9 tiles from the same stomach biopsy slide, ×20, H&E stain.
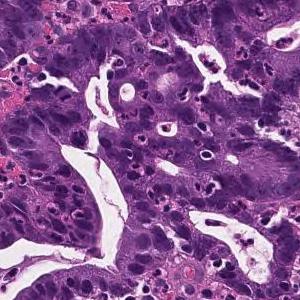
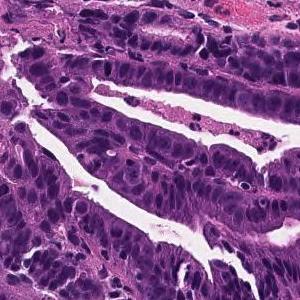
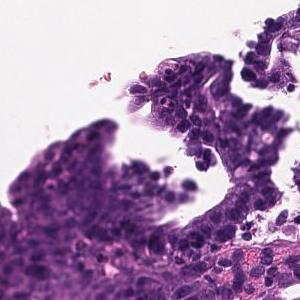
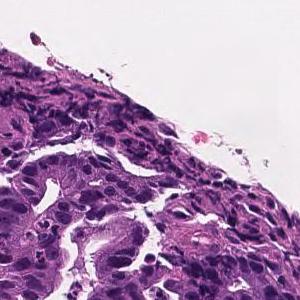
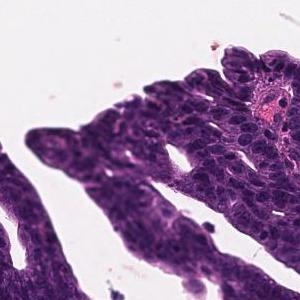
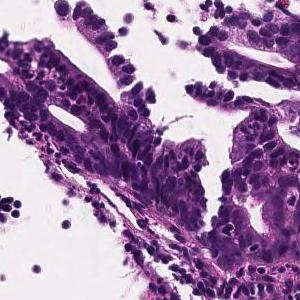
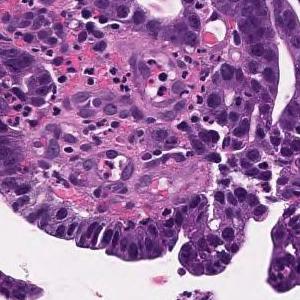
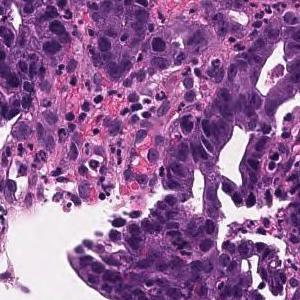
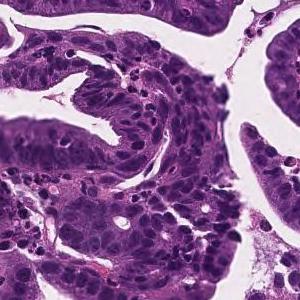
Pathology report for the biopsy slide these tiles were cut from. The report and the diagnosis describe the slide as a whole, so these tiles may not show every feature named and may include non-tumor tissue.
Tumor cells are large, highly columnar, large club-shaped nuclei, and are associated with chromatin aggregation. Papillary adenocarcinoma.
